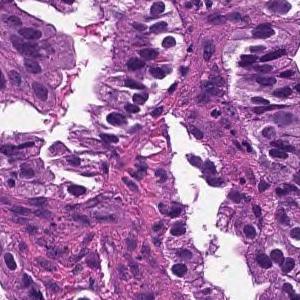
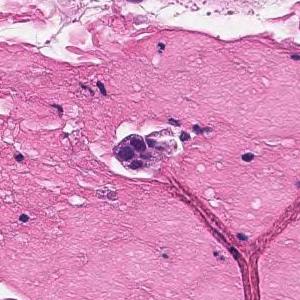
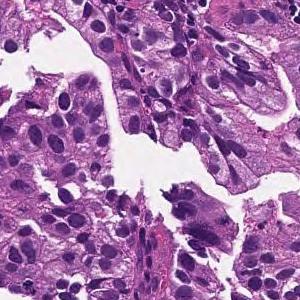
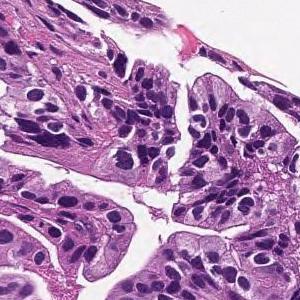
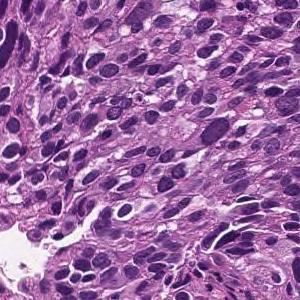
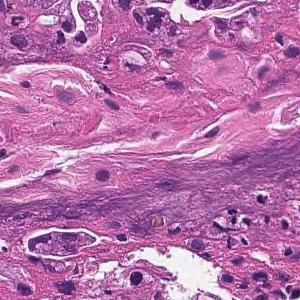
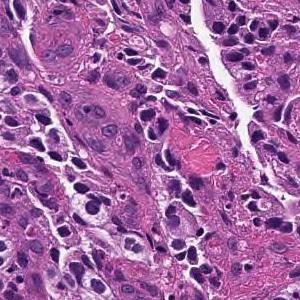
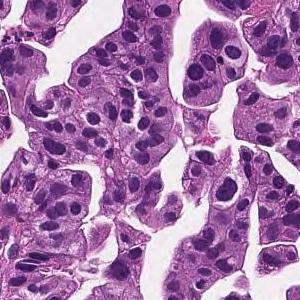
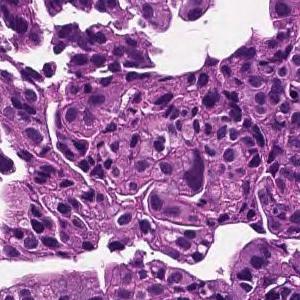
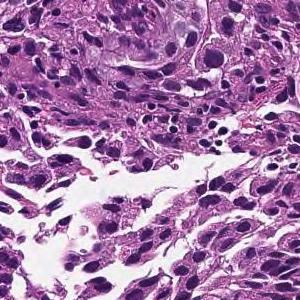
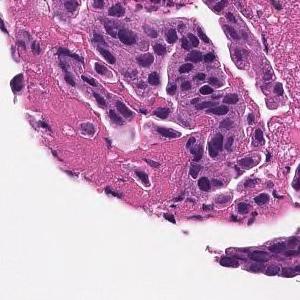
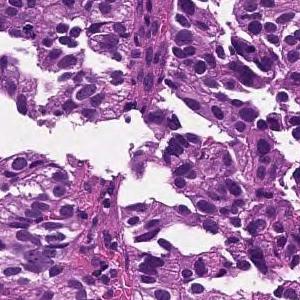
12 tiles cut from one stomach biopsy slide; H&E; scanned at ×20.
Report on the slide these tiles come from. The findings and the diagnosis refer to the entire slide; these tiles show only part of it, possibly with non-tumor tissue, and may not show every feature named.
Medium to small, irregular glandular ducts are formed in the superficial epithelium, and in some cases, the glandular ducts are fused to show solid alveolar lesions and infiltrating tumor tissue is observed. Moderately to poorly differentiated adenocarcinoma.
